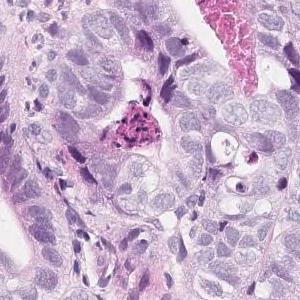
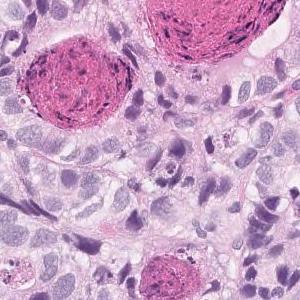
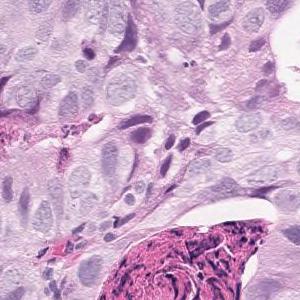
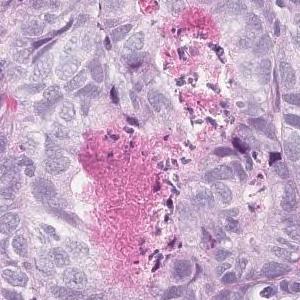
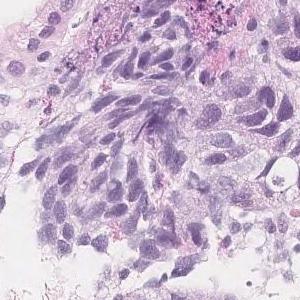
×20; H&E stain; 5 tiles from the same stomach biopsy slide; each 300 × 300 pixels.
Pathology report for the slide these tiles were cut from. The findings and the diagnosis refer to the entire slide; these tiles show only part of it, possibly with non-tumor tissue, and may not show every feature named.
In the superficial epithelium, tumor tissue that invades by forming medium-sized to small, irregular ducts is observed. Moderately differentiated adenocarcinoma.
Classified as moderately differentiated tubular adenocarcinoma.
